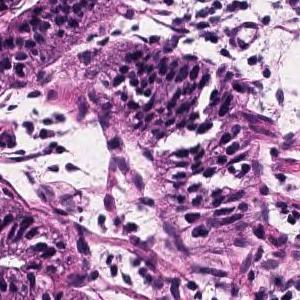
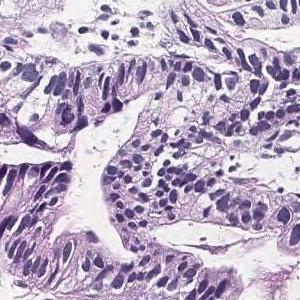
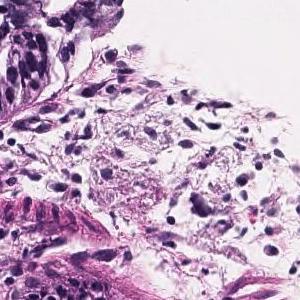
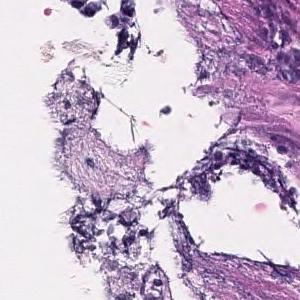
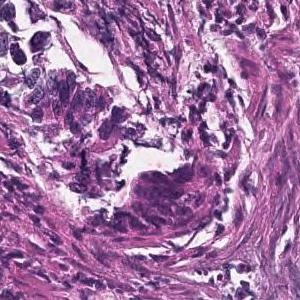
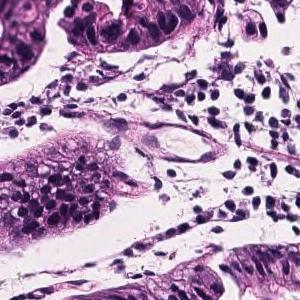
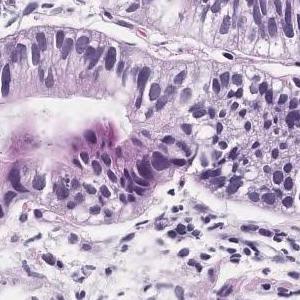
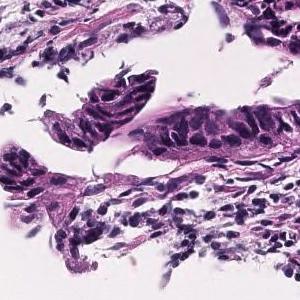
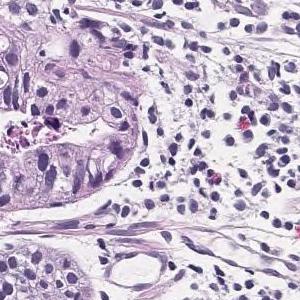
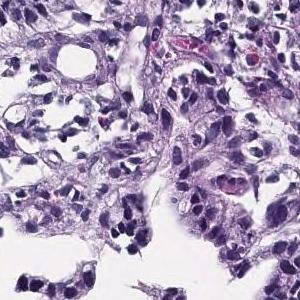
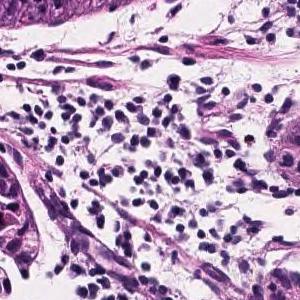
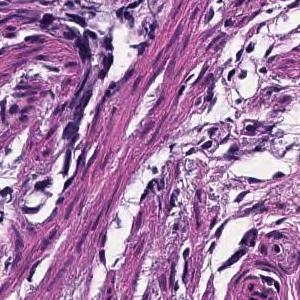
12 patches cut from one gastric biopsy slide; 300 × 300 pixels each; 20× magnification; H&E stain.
Pathology report for the slide these tiles were cut from. Both the report and the diagnosis are for the whole slide: these tiles need not show every feature named, and some of the tissue shown may not be tumor.
Tumor cells are large, highly columnar, large club-shaped nuclei, and are associated with chromatin aggregation. Papillary adenocarcinoma.
